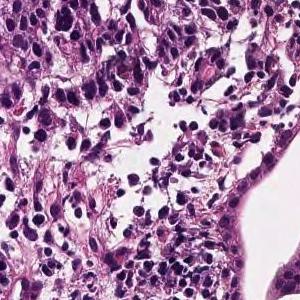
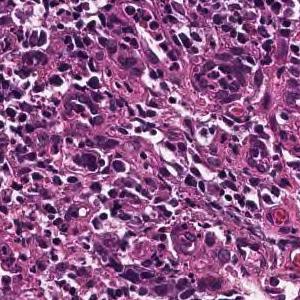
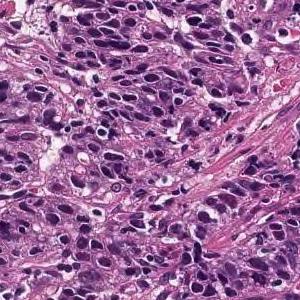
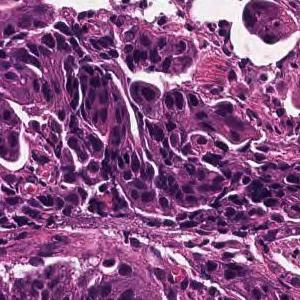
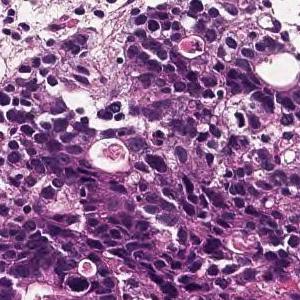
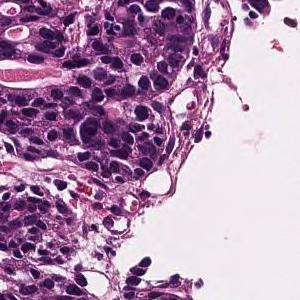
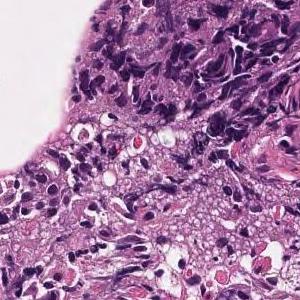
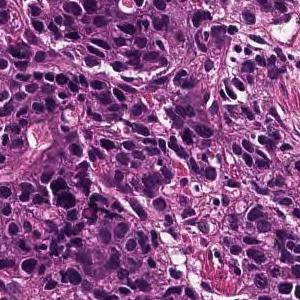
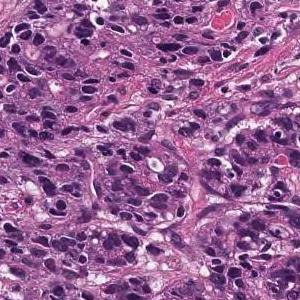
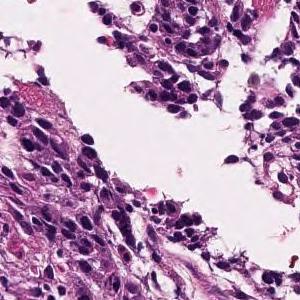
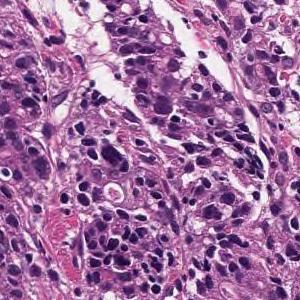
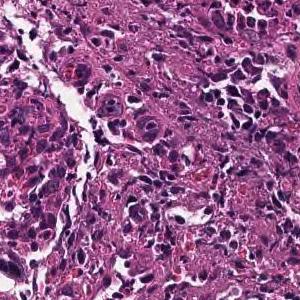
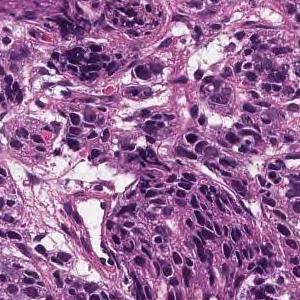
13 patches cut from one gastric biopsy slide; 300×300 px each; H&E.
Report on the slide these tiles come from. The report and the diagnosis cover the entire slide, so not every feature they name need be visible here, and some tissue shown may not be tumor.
Medium to small, irregular glandular ducts are formed in the superficial epithelium, and in some cases, the glandular ducts are fused to show solid alveolar lesions and infiltrating tumor tissue is observed. Moderately to poorly differentiated adenocarcinoma.
